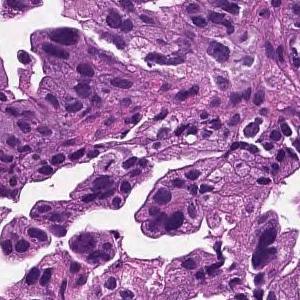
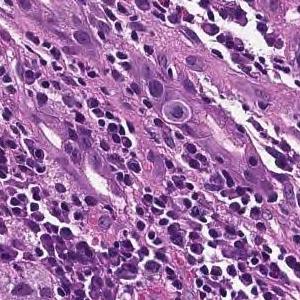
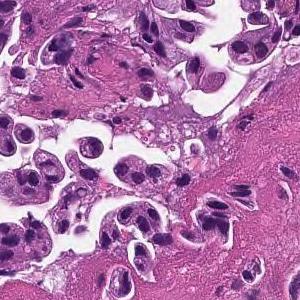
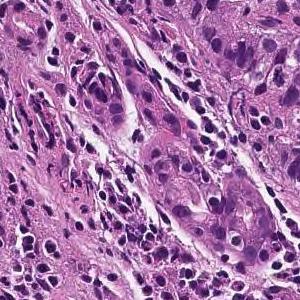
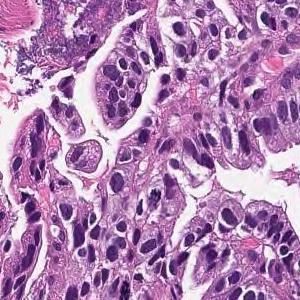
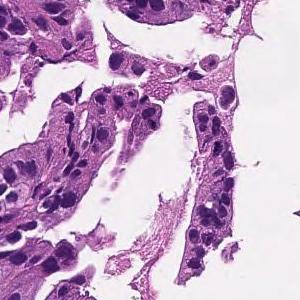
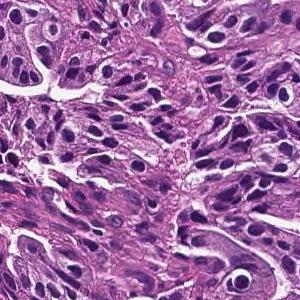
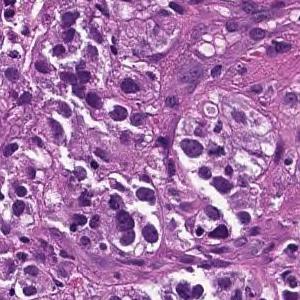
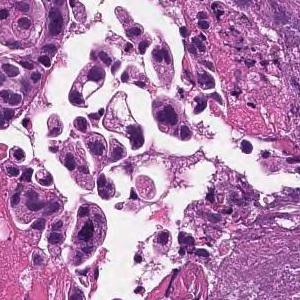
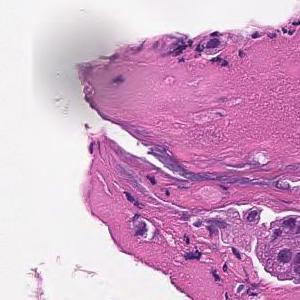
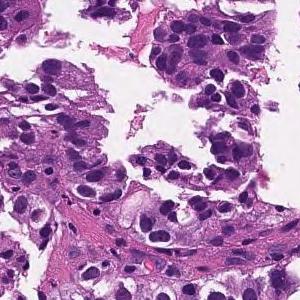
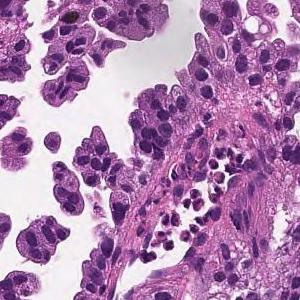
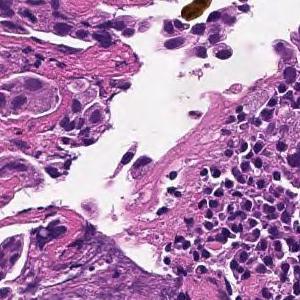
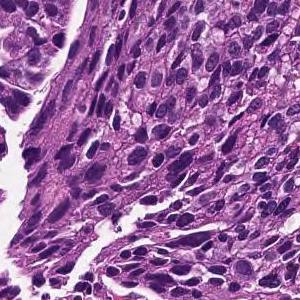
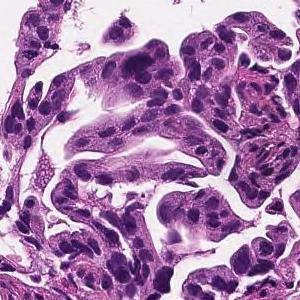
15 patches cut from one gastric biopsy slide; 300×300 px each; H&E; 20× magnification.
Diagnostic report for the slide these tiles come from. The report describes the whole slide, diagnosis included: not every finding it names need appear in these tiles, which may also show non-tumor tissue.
Medium to small, irregular glandular ducts are formed in the superficial epithelium, and in some cases, the glandular ducts are fused to show solid alveolar lesions and infiltrating tumor tissue is observed. Moderately to poorly differentiated adenocarcinoma.
